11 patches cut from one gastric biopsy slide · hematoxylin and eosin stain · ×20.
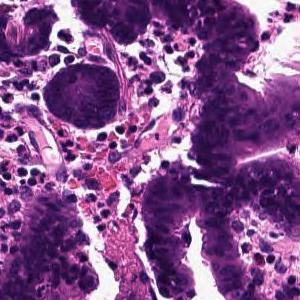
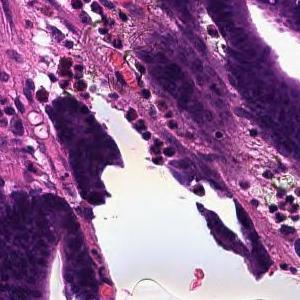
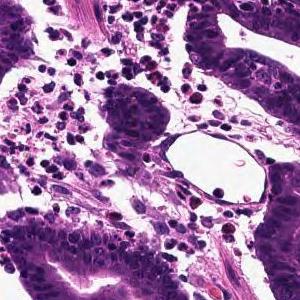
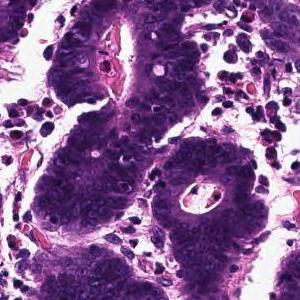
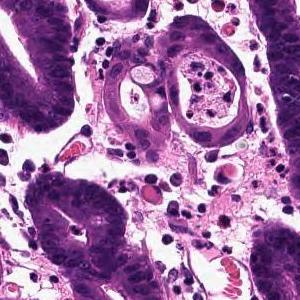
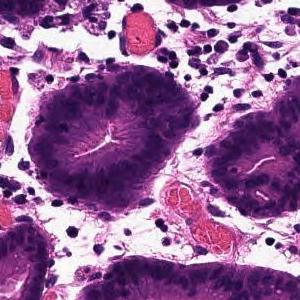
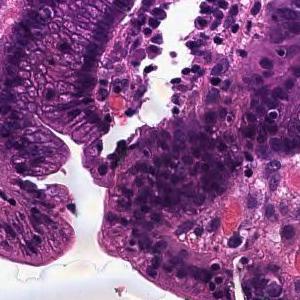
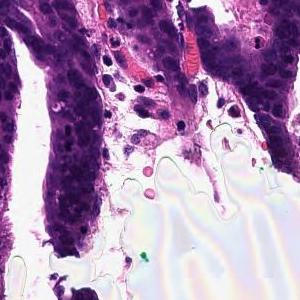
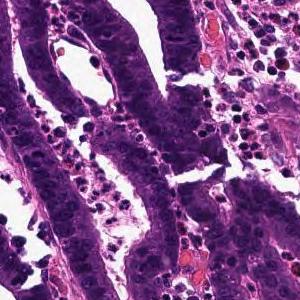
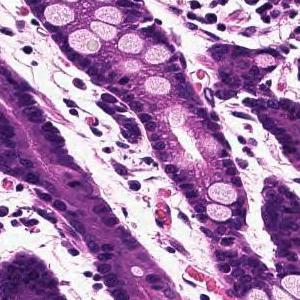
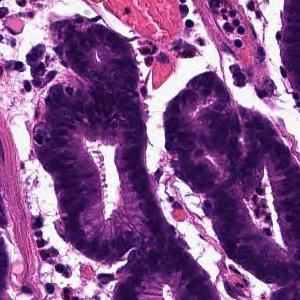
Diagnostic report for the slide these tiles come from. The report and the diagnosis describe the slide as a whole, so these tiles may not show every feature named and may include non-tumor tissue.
Tumor tissue that infiltrates by forming large papillary or large irregular glandular ducts is observed confined to the mucosa. Papillary adenocarcinoma
